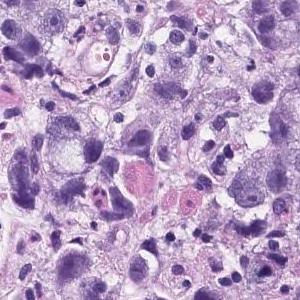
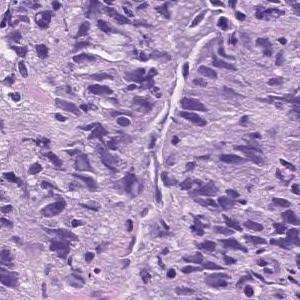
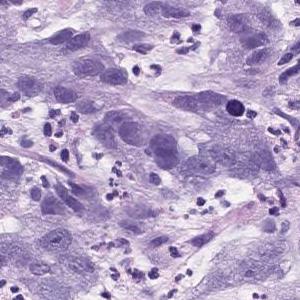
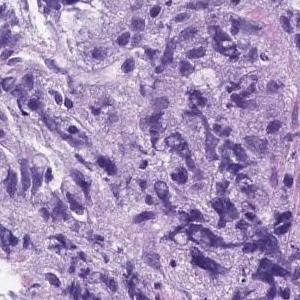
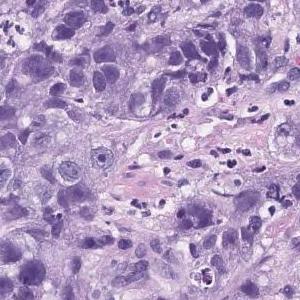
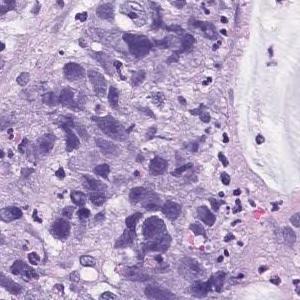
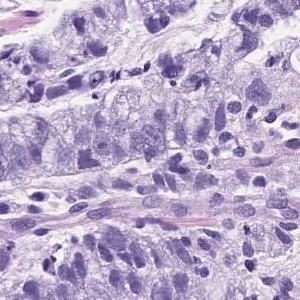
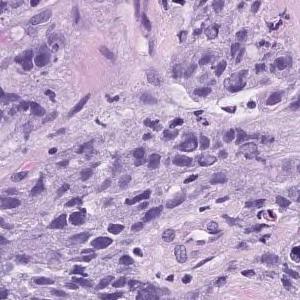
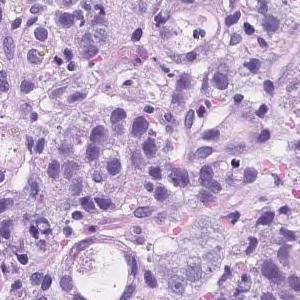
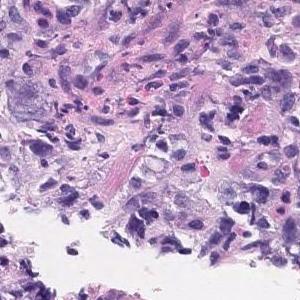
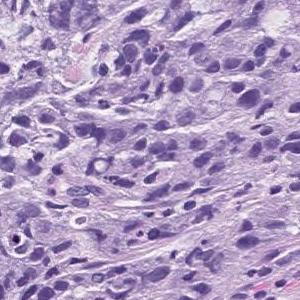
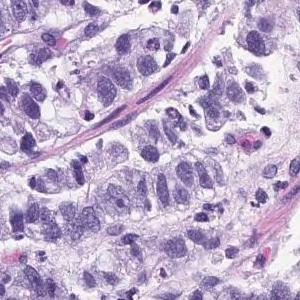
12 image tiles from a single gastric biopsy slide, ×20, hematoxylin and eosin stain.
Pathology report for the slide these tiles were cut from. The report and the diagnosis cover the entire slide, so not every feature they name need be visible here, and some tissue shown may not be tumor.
Atypical l cells with atypical nuclei forming solid vesicles or small irregular atypical ducts that proliferate in a complex manner. poorly differentiated adenocarcinoma, solid type, moderately differentiated tubular adenocarcinoma
The solid type named here is a Japanese Classification of Gastric Carcinoma category; WHO 2019 calls it tubular adenocarcinoma, poorly differentiated.
